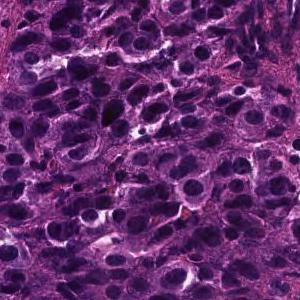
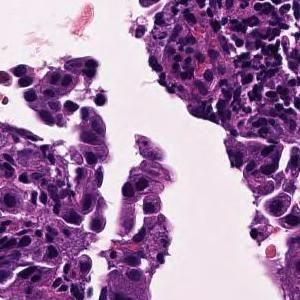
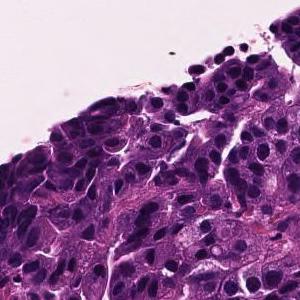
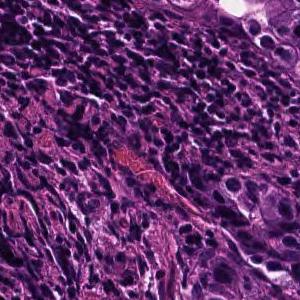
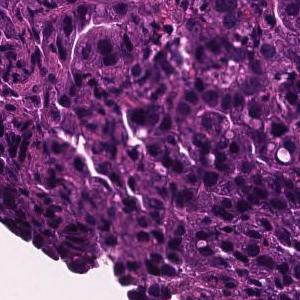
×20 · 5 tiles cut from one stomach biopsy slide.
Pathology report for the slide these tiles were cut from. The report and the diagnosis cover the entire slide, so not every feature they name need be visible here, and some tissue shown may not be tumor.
Tumor tissue consisting of medium-sized, cord-like or irregular glandular fusion and infiltration is observed in the superficial epithelium. Poorly differentiated adenocarcinoma, non-solid type or moderately differentiated tubular adenocarcinoma
Tumor subtype: moderately to poorly differentiated adenocarcinoma.
The non-solid type named here is a Japanese Classification of Gastric Carcinoma category.
